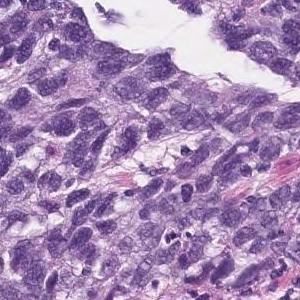
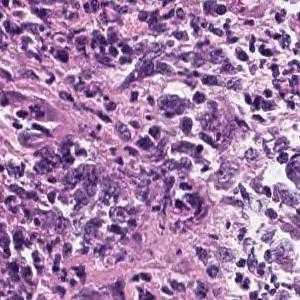
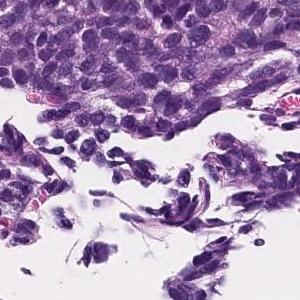
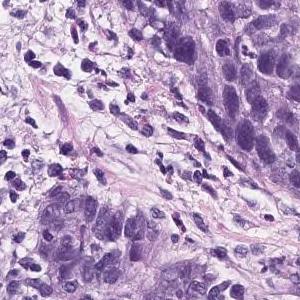
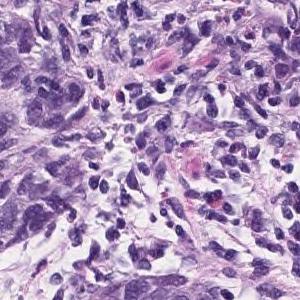
5 patches cut from one gastric biopsy slide, 300 × 300 pixels each, H&E stain.
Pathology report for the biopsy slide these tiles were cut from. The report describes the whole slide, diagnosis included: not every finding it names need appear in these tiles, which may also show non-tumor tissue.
Epithelial cells with swollen nuclei with atypia invasively proliferating while forming vesicles is observed. Poorly differentiated adenocarcinoma
Histological subtype: Poorly differentiated adenocarcinoma, solid type (Japanese Classification of Gastric Carcinoma). The WHO 2019 equivalent is tubular adenocarcinoma, poorly differentiated.
